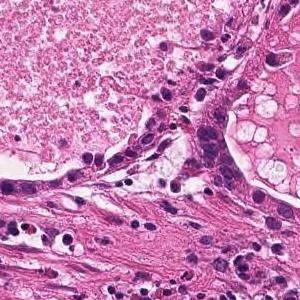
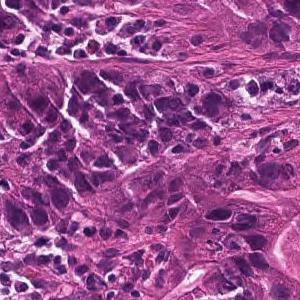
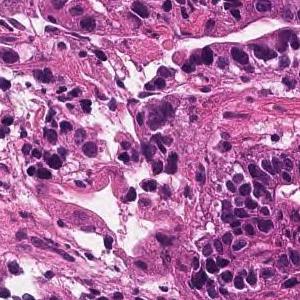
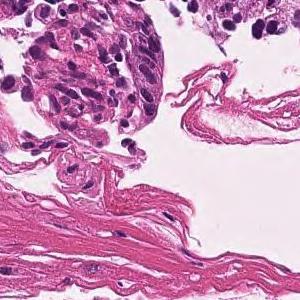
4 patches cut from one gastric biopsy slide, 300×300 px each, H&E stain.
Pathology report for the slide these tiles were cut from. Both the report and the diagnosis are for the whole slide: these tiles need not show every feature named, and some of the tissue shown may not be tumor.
In the superficial epithelium, tumor tissue that invades by forming medium-sized to small, irregular ducts is observed. moderately differentiated tubular adenocarcinoma.
